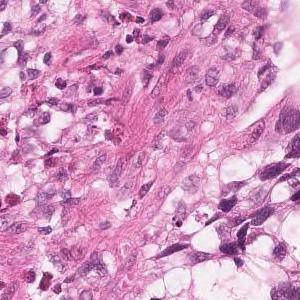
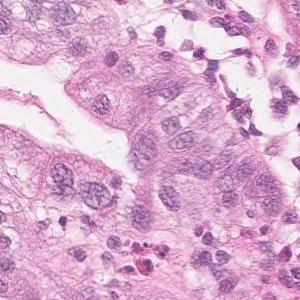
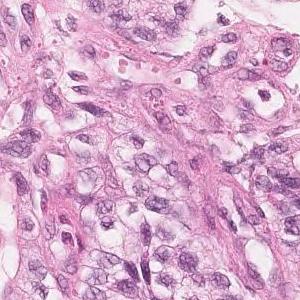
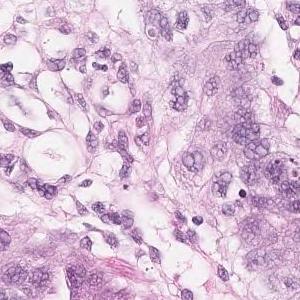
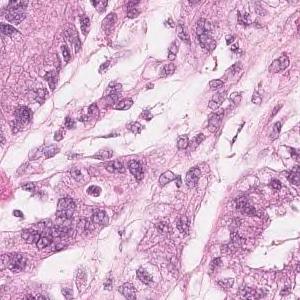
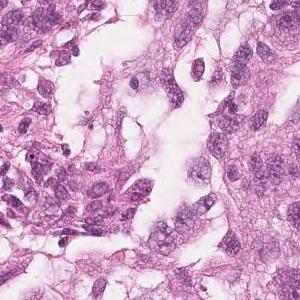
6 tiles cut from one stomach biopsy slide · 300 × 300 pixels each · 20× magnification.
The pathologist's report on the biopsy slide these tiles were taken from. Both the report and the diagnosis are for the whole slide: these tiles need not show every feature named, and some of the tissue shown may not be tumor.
Highly columnar epithelium with disordered nuclear localization proliferates showing fusion ductal construction. moderately differentiated tubular adenocarcinoma
